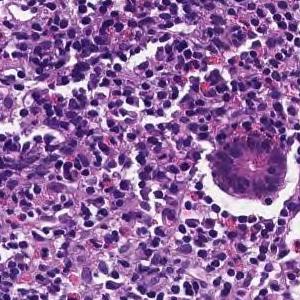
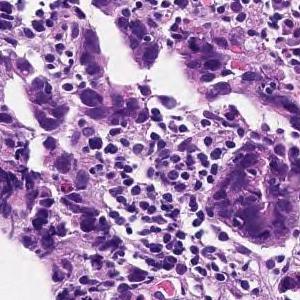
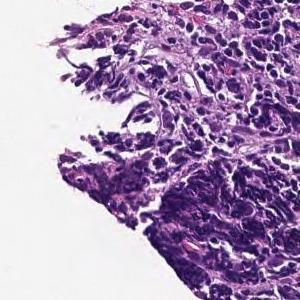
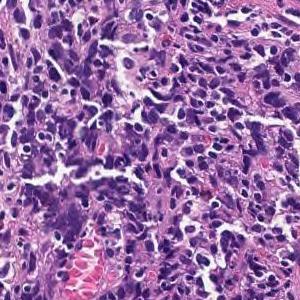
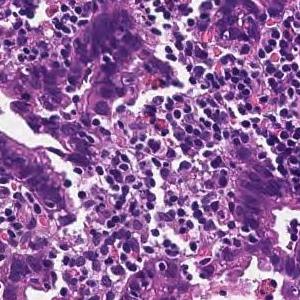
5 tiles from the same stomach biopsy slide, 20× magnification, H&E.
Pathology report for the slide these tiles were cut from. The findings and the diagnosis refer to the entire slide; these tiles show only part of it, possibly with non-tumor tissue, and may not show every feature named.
Tumor tissue consisting of medium-sized, cord-like or irregular glandular infiltration is observed in the superficial epithelium. Poorly differentiated adenocarcinoma, non-solid type or moderately differentiated tubular adenocarcinoma
Subtype: Moderately to poorly differentiated adenocarcinoma.
"Non-solid type" is a category of the Japanese Classification of Gastric Carcinoma.
